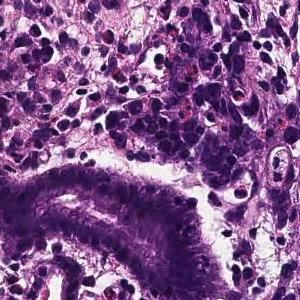
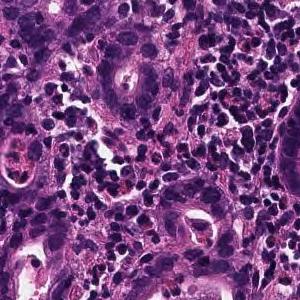
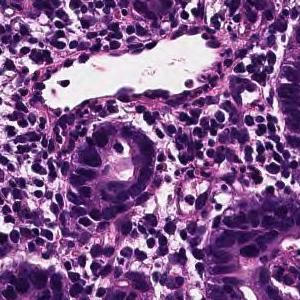
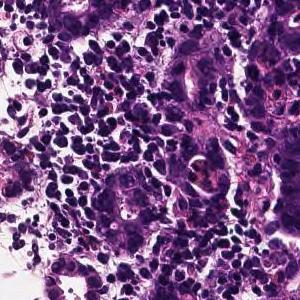
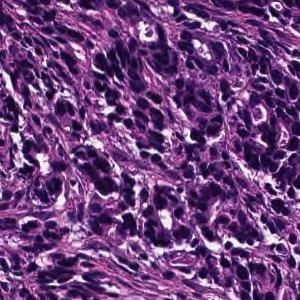
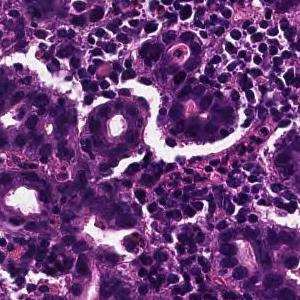
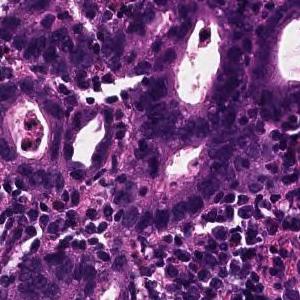
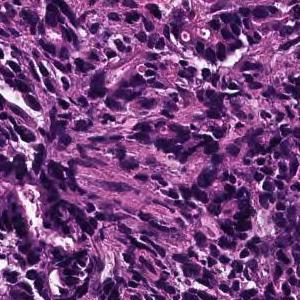
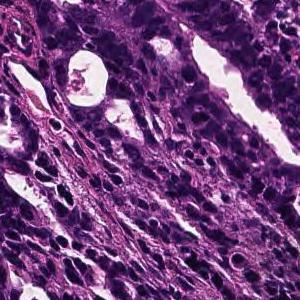
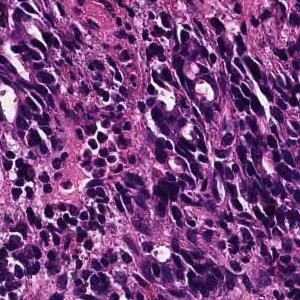
20× magnification · H&E · 10 image tiles from a single gastric biopsy slide · each 300 × 300 pixels.
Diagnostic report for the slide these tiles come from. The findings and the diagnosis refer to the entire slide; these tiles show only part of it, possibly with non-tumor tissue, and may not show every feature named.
On the superficial epithelium, tumor tissue is found in which medium-sized irregular gland ducts fuse with each other and infiltrate. moderately differentiated tubular adenocarcinoma or Poorly differentiated adenocarcinoma, non-solid type
Histologic type: Moderately to poorly differentiated adenocarcinoma.
The non-solid type named here is a Japanese Classification of Gastric Carcinoma category.
